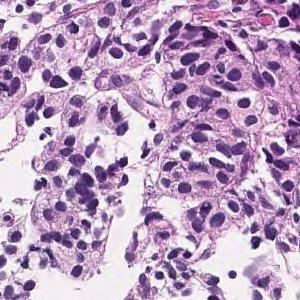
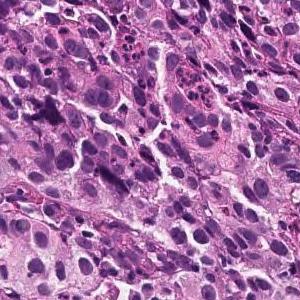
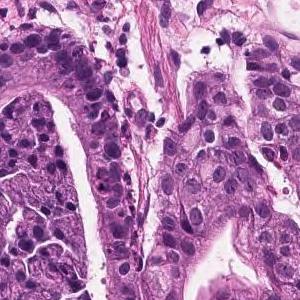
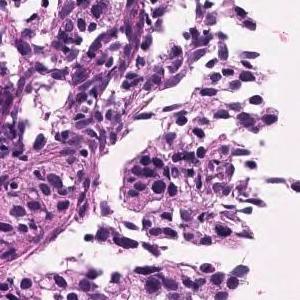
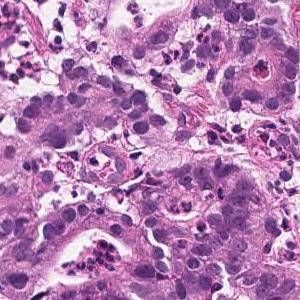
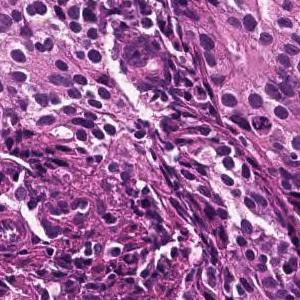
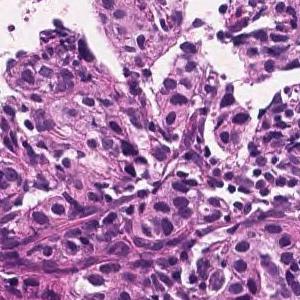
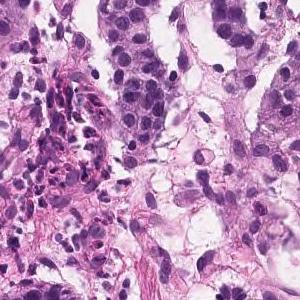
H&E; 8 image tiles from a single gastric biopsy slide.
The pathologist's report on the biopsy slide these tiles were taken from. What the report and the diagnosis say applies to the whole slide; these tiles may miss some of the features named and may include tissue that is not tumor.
Medium to small, irregular glandular ducts are formed in the superficial epithelium, and in some cases, the glandular ducts are fused to show solid alveolar lesions and infiltrating tumor tissue is observed. Moderately to poorly differentiated adenocarcinoma.
